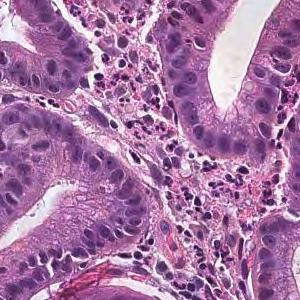
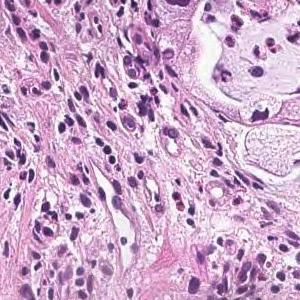
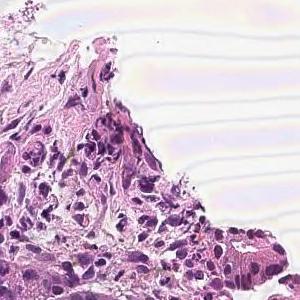
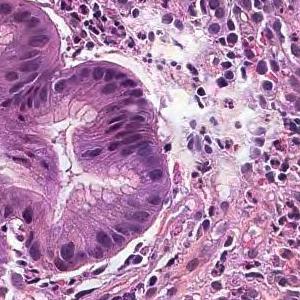
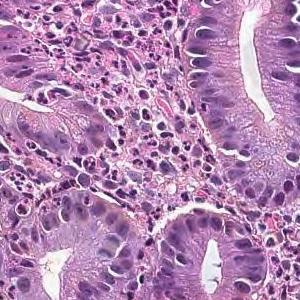
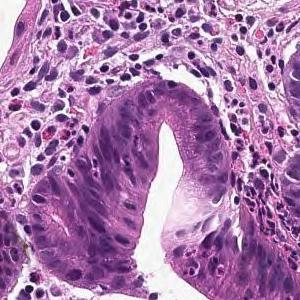
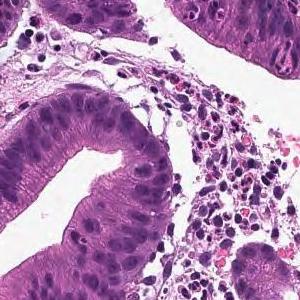
7 image tiles from a single gastric biopsy slide · each 300 × 300 pixels · 20× magnification · H&E stain.
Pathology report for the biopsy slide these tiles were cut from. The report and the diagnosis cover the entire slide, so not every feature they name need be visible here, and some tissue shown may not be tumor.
On the superficial epithelium, tumor tissue that infiltrates by forming medium-sized papillary or small irregular ducts is observed. Papillary adenocarcinoma
